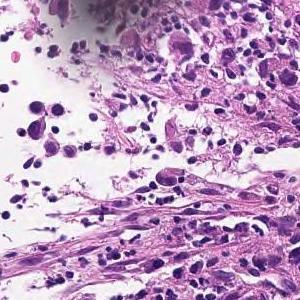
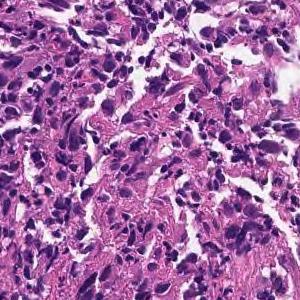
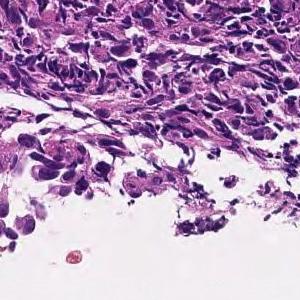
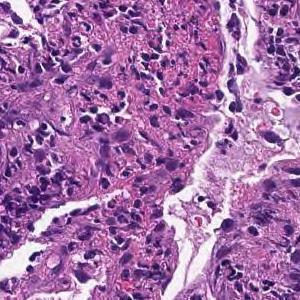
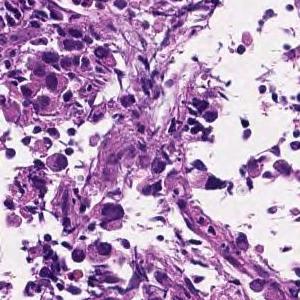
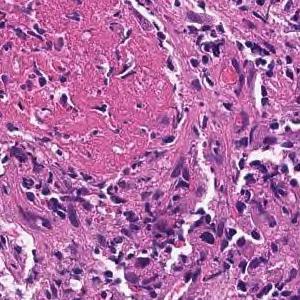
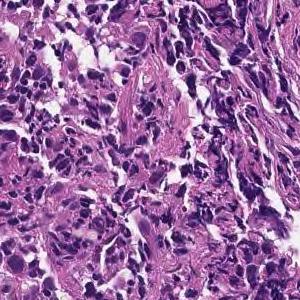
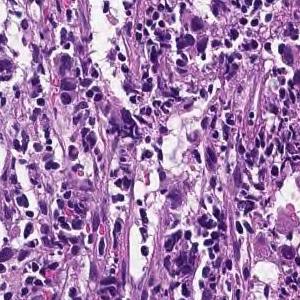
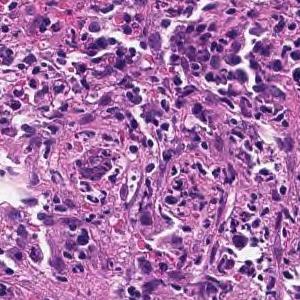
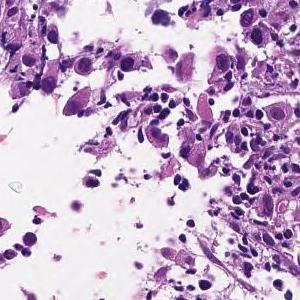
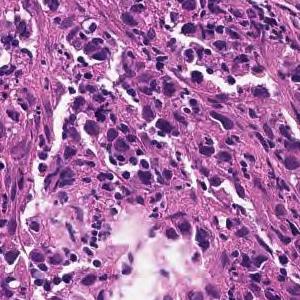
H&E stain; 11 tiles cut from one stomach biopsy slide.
Pathology report for the slide these tiles were cut from. Both the report and the diagnosis are for the whole slide: these tiles need not show every feature named, and some of the tissue shown may not be tumor.
The superficial epithelium shows a large sheet-like shape, and some tumor tissue infiltrates with small irregular ducts. Poorly differentiated adenocarcinoma, solid-type (poorly differentiated adenocarcinoma, solid type)
Histologic type: Poorly differentiated adenocarcinoma, solid type. This name comes from the Japanese Classification of Gastric Carcinoma; the WHO 2019 classification calls it tubular adenocarcinoma, poorly differentiated.
